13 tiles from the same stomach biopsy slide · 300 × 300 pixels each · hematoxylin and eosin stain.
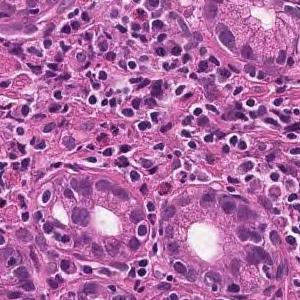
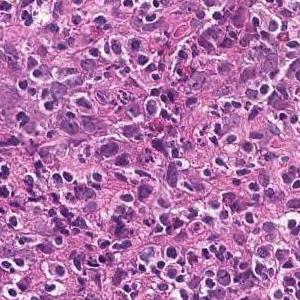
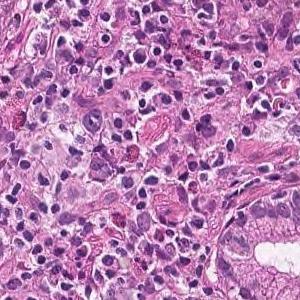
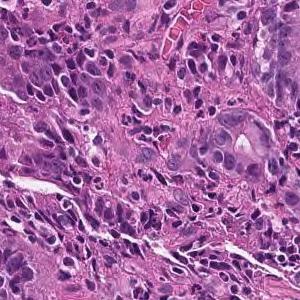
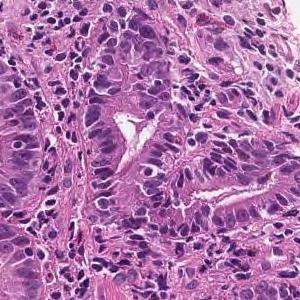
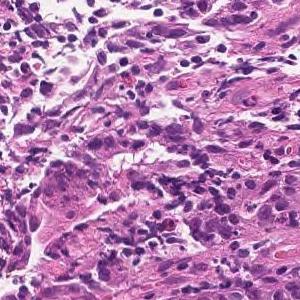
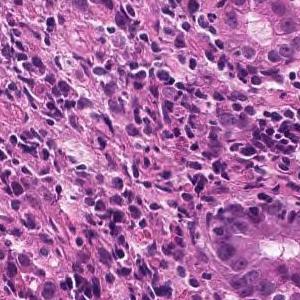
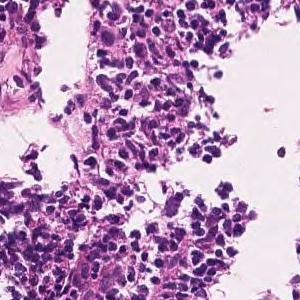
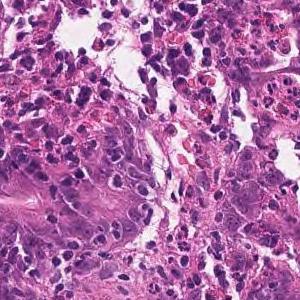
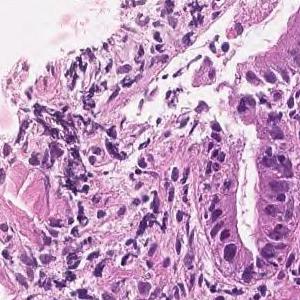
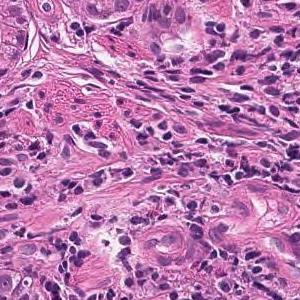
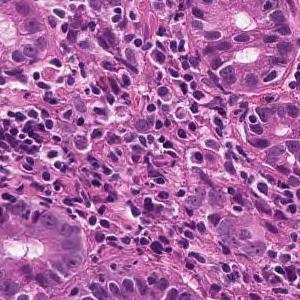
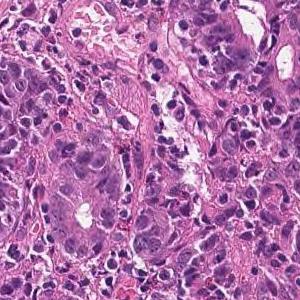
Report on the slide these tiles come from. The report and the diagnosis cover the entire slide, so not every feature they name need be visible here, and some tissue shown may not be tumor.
Tumor tissue consisting of medium-sized, cord-like or irregular glandular infiltration is observed in the superficial epithelium. Poorly differentiated adenocarcinoma, non-solid type or moderately differentiated tubular adenocarcinoma
The dataset labels this slide poorly differentiated adenocarcinoma, non-solid type.
The term "non-solid type" comes from the Japanese Classification of Gastric Carcinoma.
